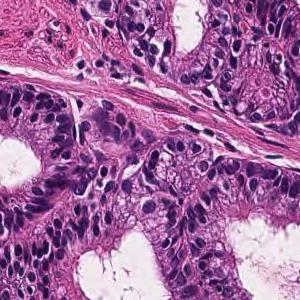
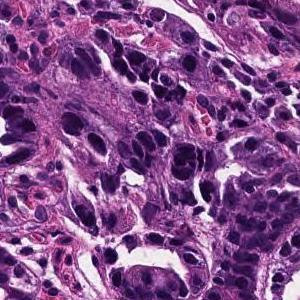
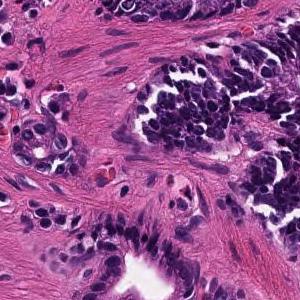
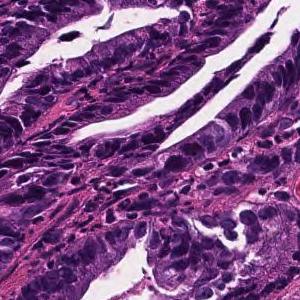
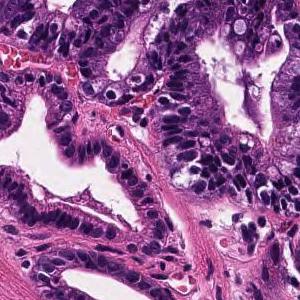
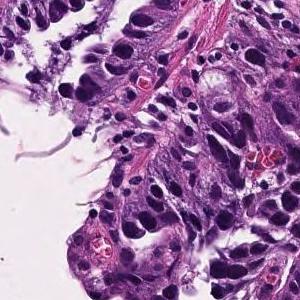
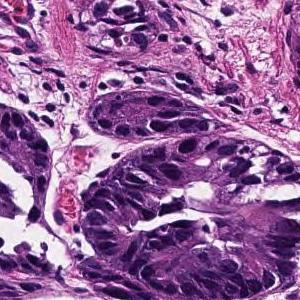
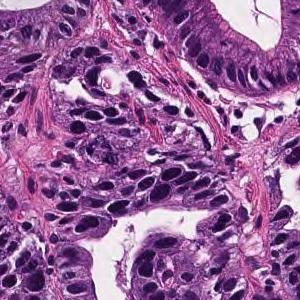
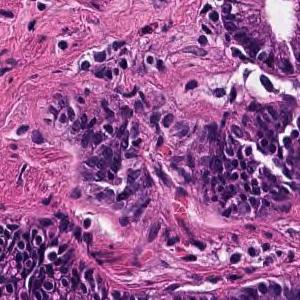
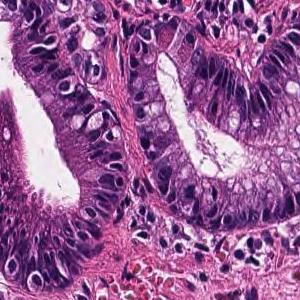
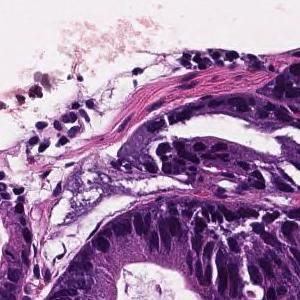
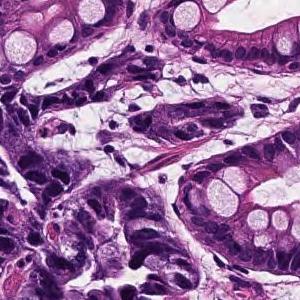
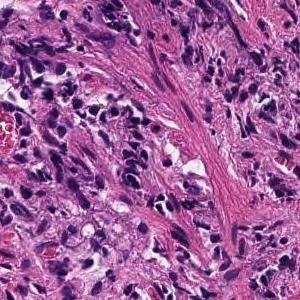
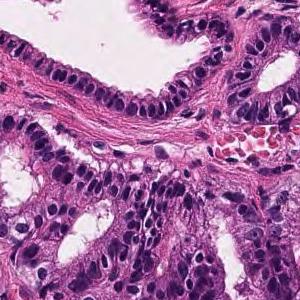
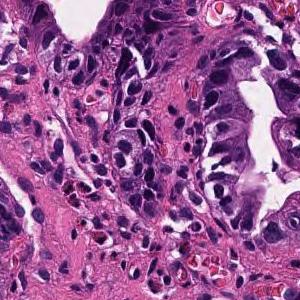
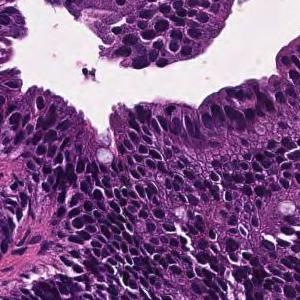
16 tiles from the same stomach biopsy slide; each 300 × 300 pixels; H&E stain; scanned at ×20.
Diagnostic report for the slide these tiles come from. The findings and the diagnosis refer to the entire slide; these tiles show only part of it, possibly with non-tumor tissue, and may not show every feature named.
Tumor cells are large, highly columnar, large club-shaped nuclei, and are associated with chromatin aggregation. Papillary adenocarcinoma.
